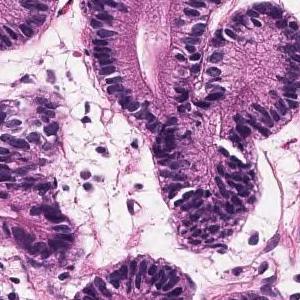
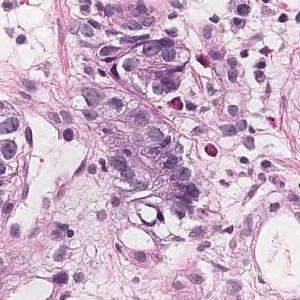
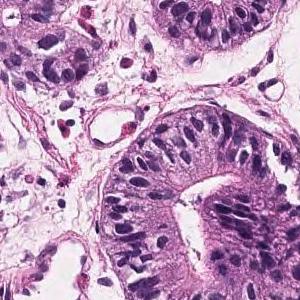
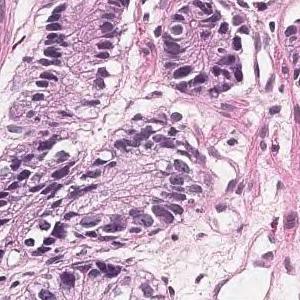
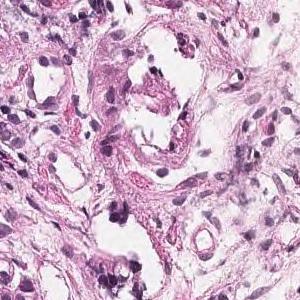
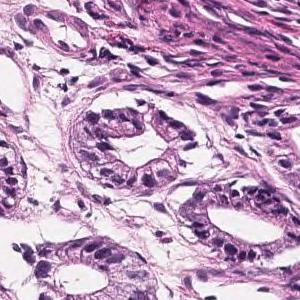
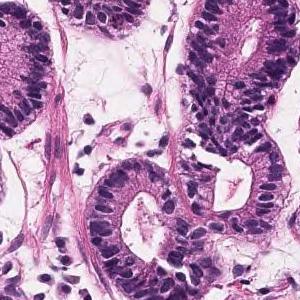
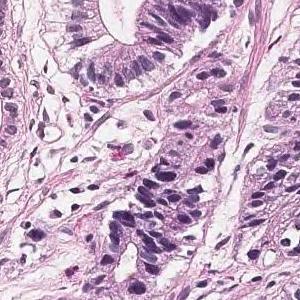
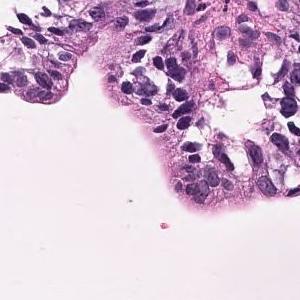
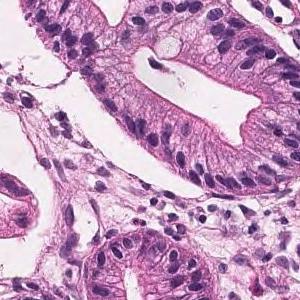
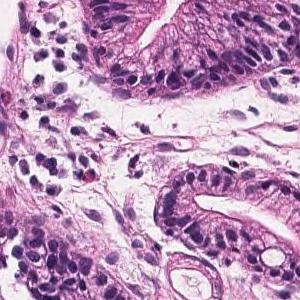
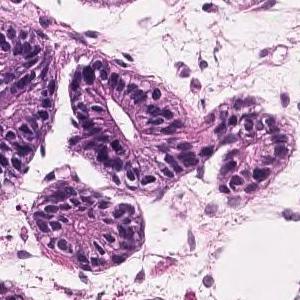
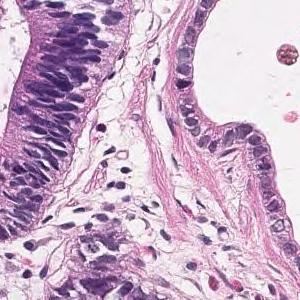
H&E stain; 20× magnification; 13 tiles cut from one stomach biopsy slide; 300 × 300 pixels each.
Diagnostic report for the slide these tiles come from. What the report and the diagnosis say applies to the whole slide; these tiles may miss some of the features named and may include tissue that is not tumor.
Tumor tissue in which medium to small irregular ducts infiltrate and proliferate in the submucosa can be seen in the epithelium. Well differentiated tubular adenocarcinoma
